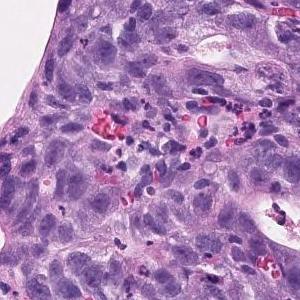
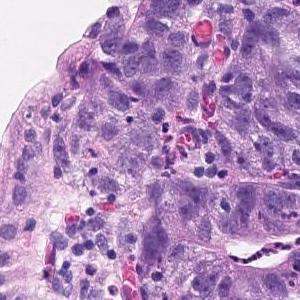
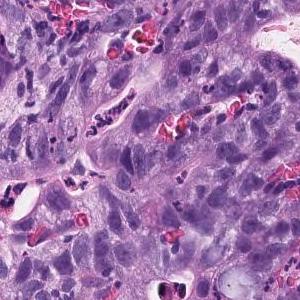
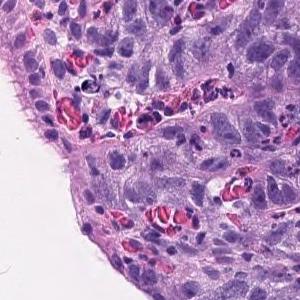
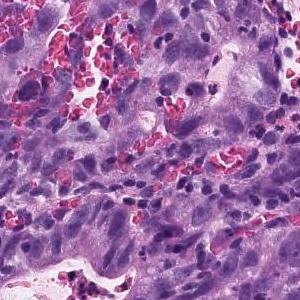
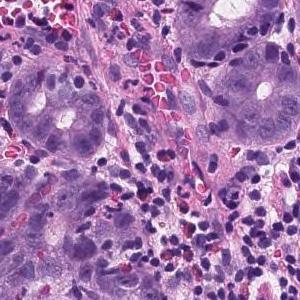
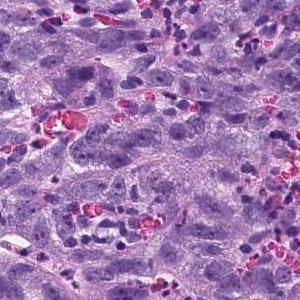
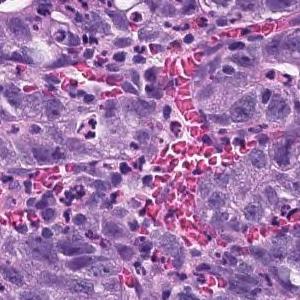
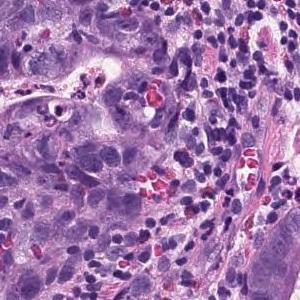
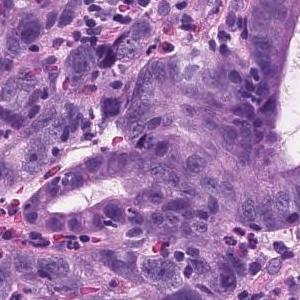
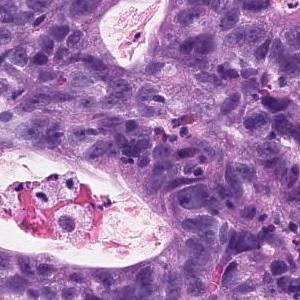
×20 · 11 tiles from the same stomach biopsy slide · each 300 × 300 pixels.
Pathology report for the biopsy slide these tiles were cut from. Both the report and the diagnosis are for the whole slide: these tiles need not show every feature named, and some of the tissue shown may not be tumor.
Atypical l cells with atypical nuclei forming solid or diffuse vesicles or small irregular atypical ducts and growing in a complex manner. moderately differentiated tubular adenocarcinoma
